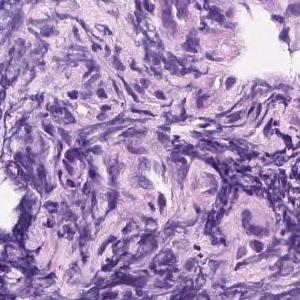
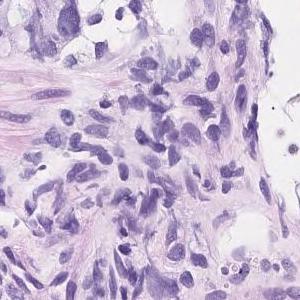
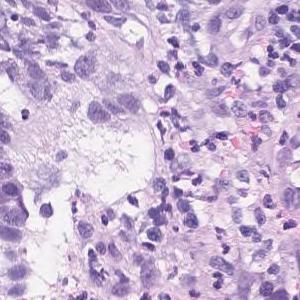
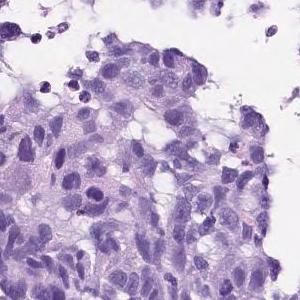
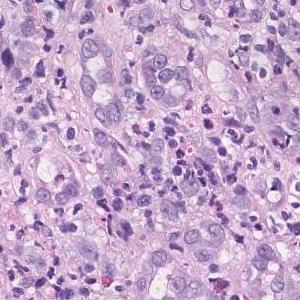
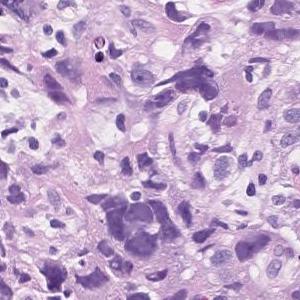
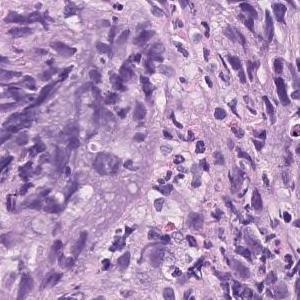
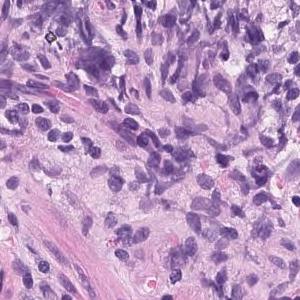
Scanned at ×20, 8 tiles cut from one stomach biopsy slide, 300×300 px each.
Report on the slide these tiles come from. The report describes the whole slide, diagnosis included: not every finding it names need appear in these tiles, which may also show non-tumor tissue.
Atypical epithelial cells infiltrating and proliferating diffusely or while forming vesicles is observed. Poorly differentiated adenocarcinoma (poorly differentiated adenocarcinoma, solid type moderately differentiated tubular adenocarcinoma)
Dataset label: poorly differentiated adenocarcinoma, solid type (Japanese Classification of Gastric Carcinoma). The WHO 2019 equivalent is tubular adenocarcinoma, poorly differentiated.
